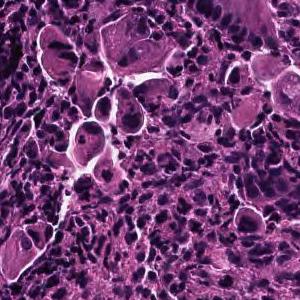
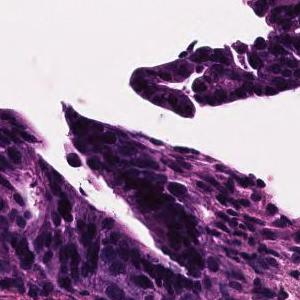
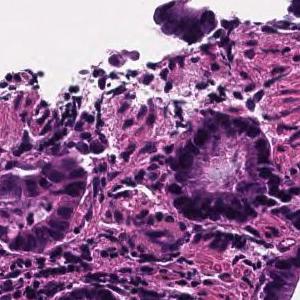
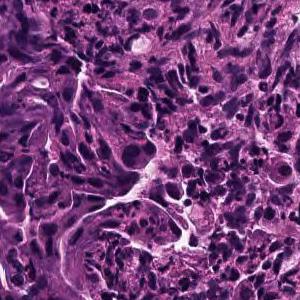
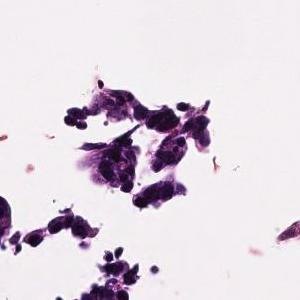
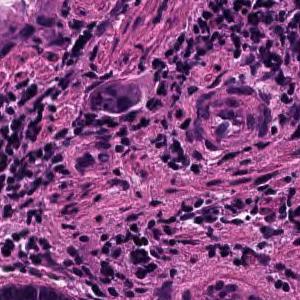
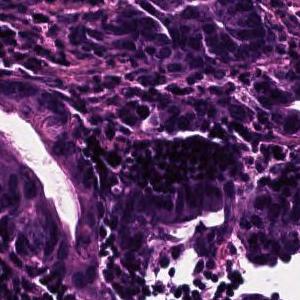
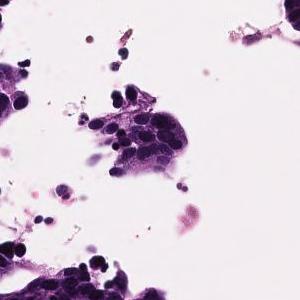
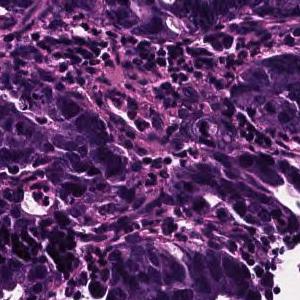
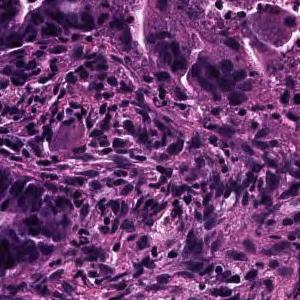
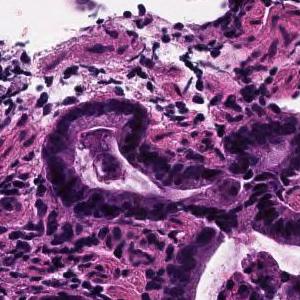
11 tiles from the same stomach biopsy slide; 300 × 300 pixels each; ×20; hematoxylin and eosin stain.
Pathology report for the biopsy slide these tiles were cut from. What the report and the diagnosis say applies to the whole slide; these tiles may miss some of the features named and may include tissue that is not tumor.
On the superficial epithelium, tumor tissue consisting of large, irregular glandular ducts partially fused and infiltrated is observed. Well to moderately differentiated tubular adenocarcinoma (well differentiated tubular adenocarcinoma, moderately differentiated tubular adenocarcinoma)
Subtype: Well to moderately differentiated tubular adenocarcinoma.
